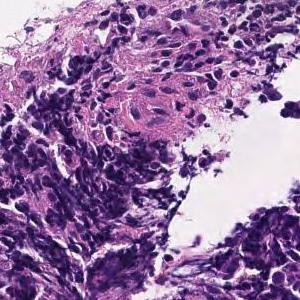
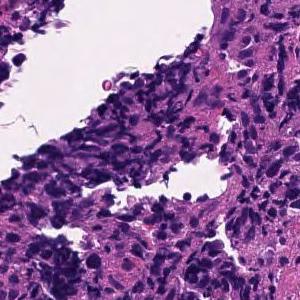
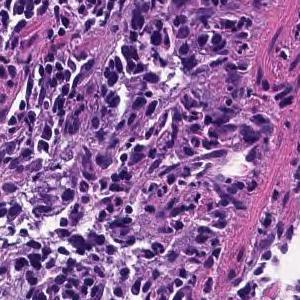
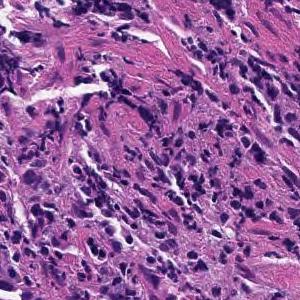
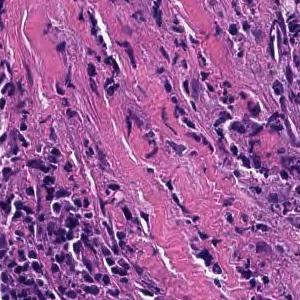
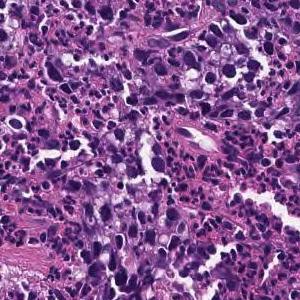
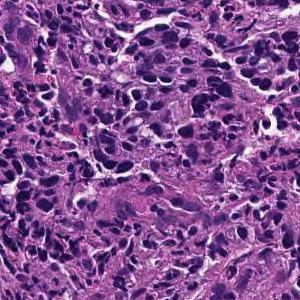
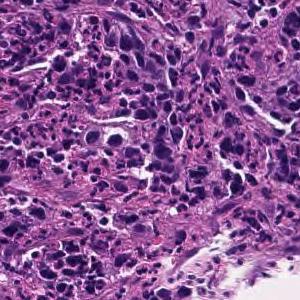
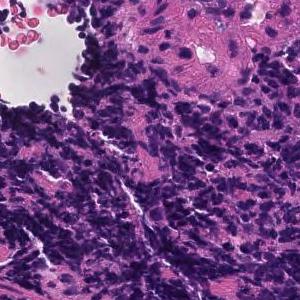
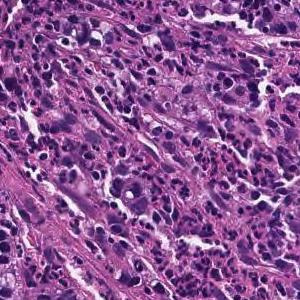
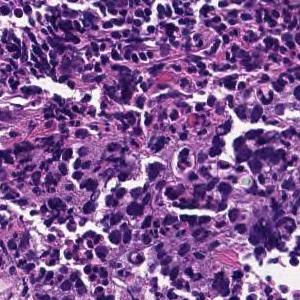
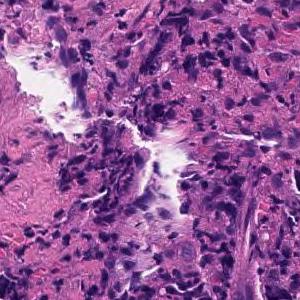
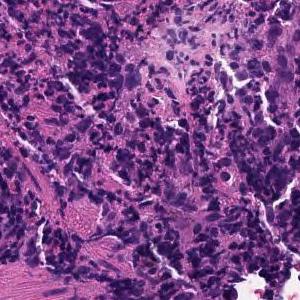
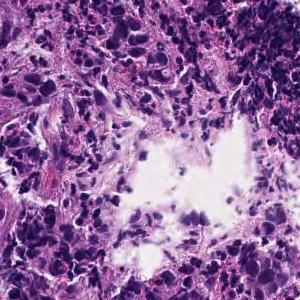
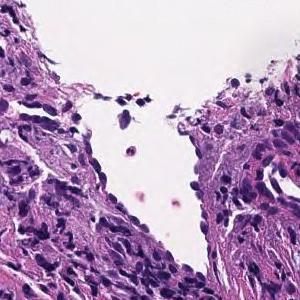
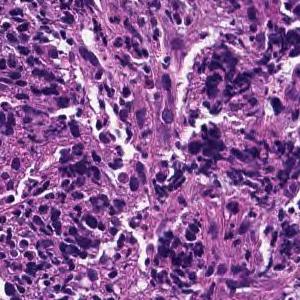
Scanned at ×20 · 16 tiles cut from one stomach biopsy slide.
Diagnostic report for the slide these tiles come from. The report and the diagnosis describe the slide as a whole, so these tiles may not show every feature named and may include non-tumor tissue.
Tumor tissue consisting of cord-like or small, irregular glandular ducts fused and infiltrated is observed in the superficial epithelium. Poorly differentiated adenocarcinoma, non-solid type
The non-solid type named here is a Japanese Classification of Gastric Carcinoma category.
